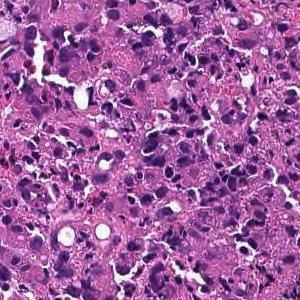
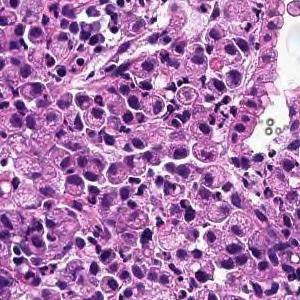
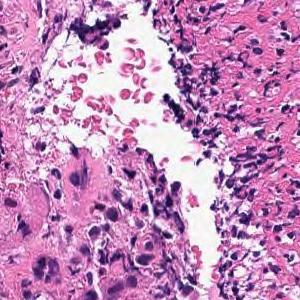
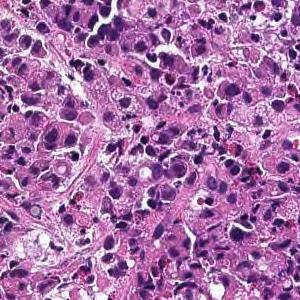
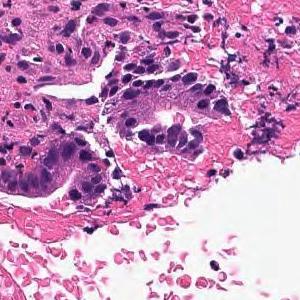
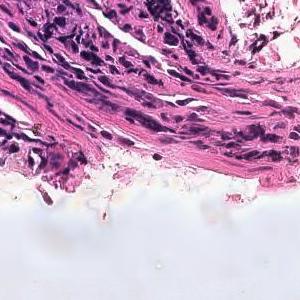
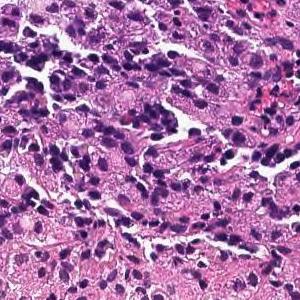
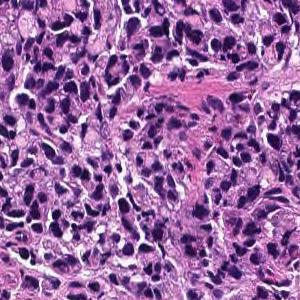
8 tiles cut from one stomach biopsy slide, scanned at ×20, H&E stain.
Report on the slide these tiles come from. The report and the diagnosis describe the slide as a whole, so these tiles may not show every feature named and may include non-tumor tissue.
Tumor tissue consisting of diffusely infiltrated large atypical epithelial cells or signet ring atypical cells is observed in the superficial epithelium. Poorly differentiated adenocarcinoma, solid-type
Histological subtype: Poorly differentiated adenocarcinoma, solid type (Japanese Classification of Gastric Carcinoma). The WHO 2019 equivalent is tubular adenocarcinoma, poorly differentiated.
